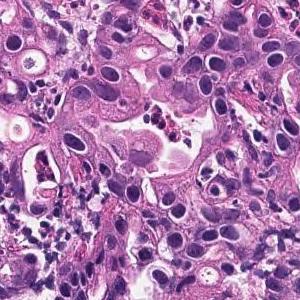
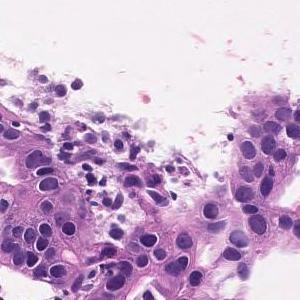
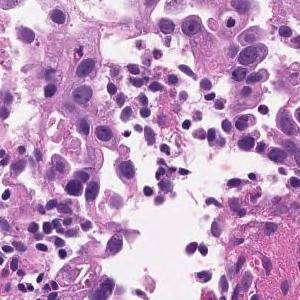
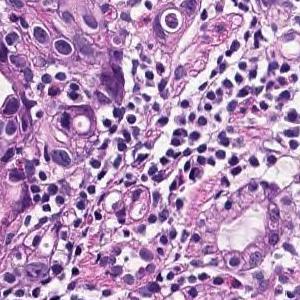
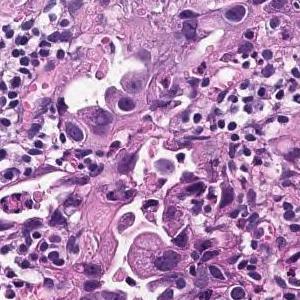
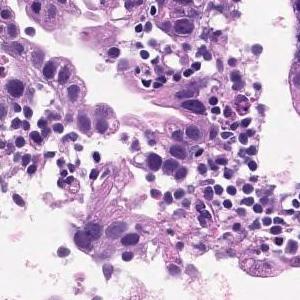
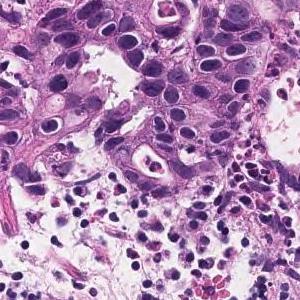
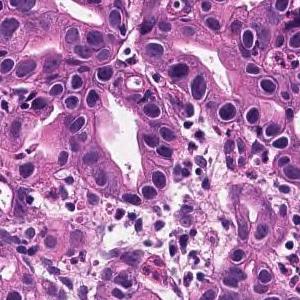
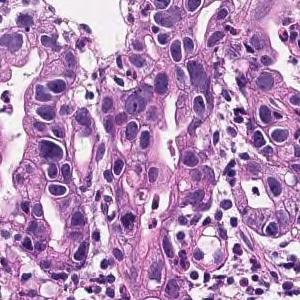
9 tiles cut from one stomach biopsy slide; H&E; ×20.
Pathology report for the biopsy slide these tiles were cut from. The report describes the whole slide, diagnosis included: not every finding it names need appear in these tiles, which may also show non-tumor tissue.
In the superficial epithelium, tumor tissue that invades by forming medium-sized to small, irregular ducts is observed. moderately differentiated tubular adenocarcinoma.
